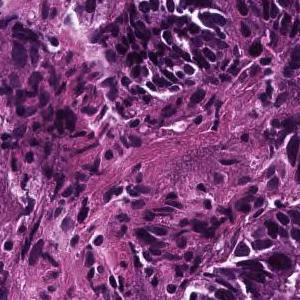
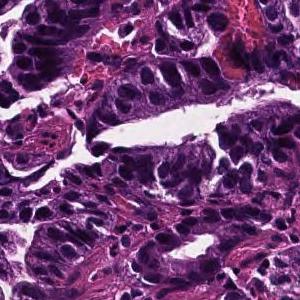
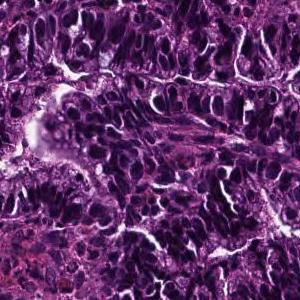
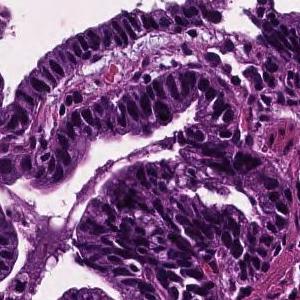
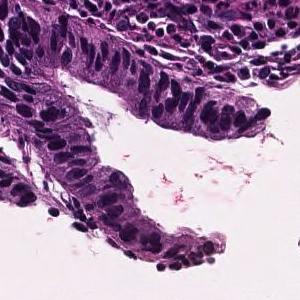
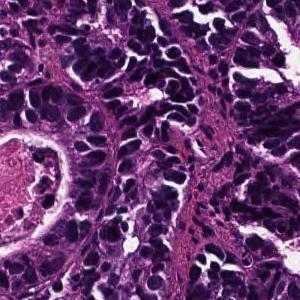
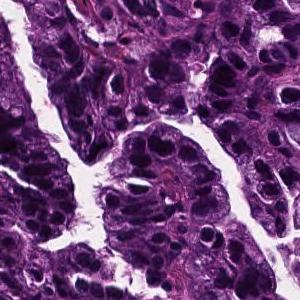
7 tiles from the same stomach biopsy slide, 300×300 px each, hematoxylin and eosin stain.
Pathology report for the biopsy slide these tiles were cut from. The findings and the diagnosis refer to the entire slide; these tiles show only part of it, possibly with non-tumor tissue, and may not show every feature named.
In the superficial epithelium, tumor tissue that invades by forming medium-sized to small, irregular ducts is observed. Well differentiated tubular adenocarcinoma.
